H&E stain; ×20; 16 image tiles from a single gastric biopsy slide; 300×300 px each.
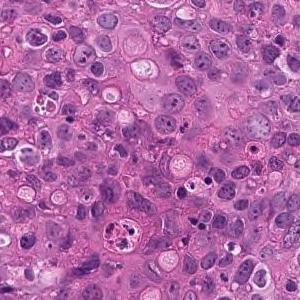
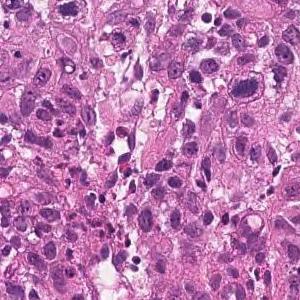
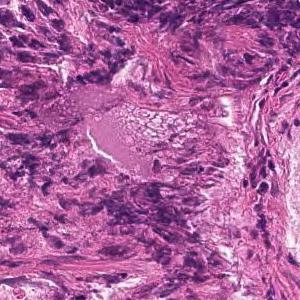
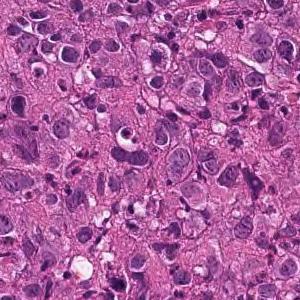
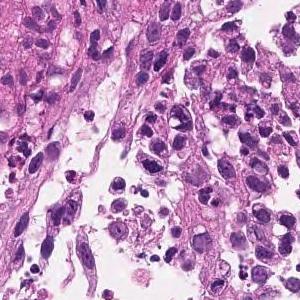
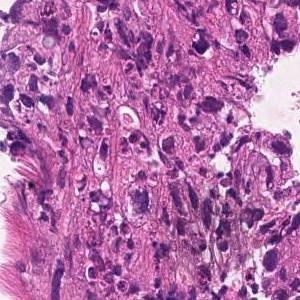
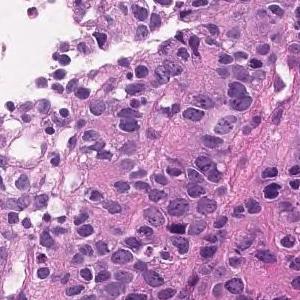
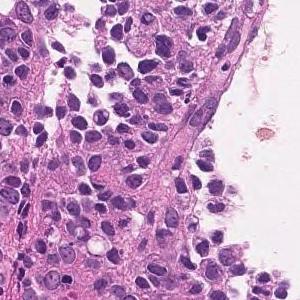
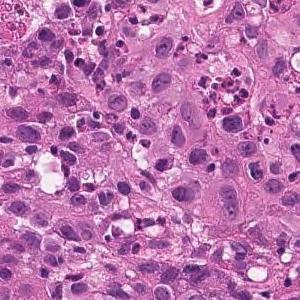
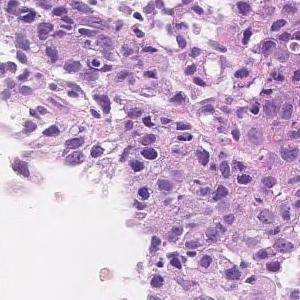
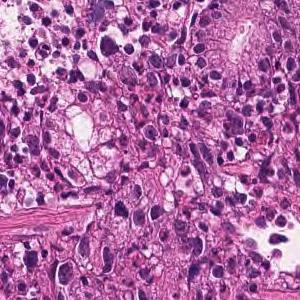
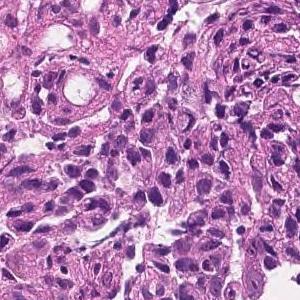
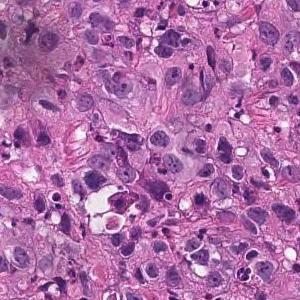
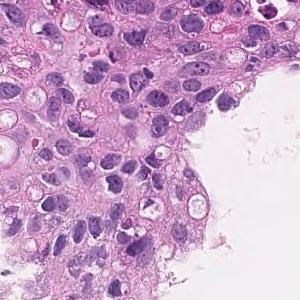
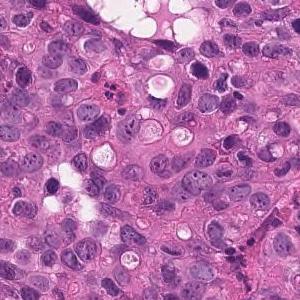
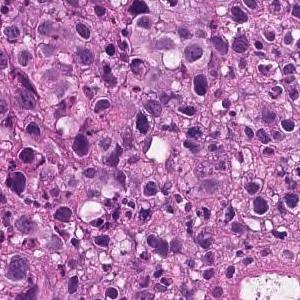
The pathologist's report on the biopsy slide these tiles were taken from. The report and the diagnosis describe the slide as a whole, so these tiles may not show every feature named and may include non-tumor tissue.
The superficial epithelium shows a large sheet-like shape, and some tumor tissue infiltrates with small irregular ducts. Poorly differentiated adenocarcinoma, solid-type
Histologic type: Poorly differentiated adenocarcinoma, solid type, a category of the Japanese Classification of Gastric Carcinoma; in the WHO 2019 classification it is tubular adenocarcinoma, poorly differentiated.
